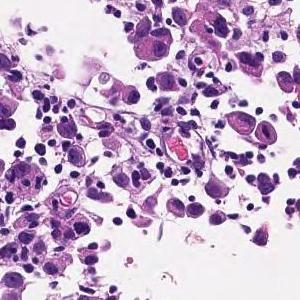
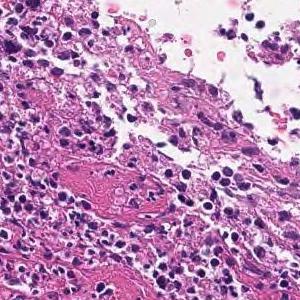
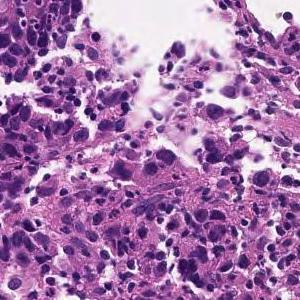
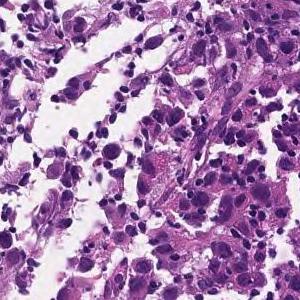
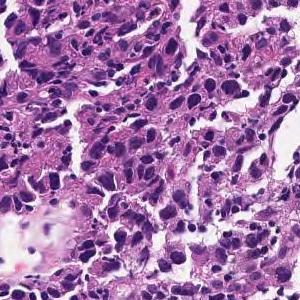
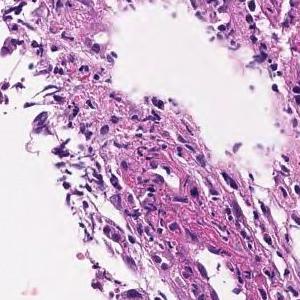
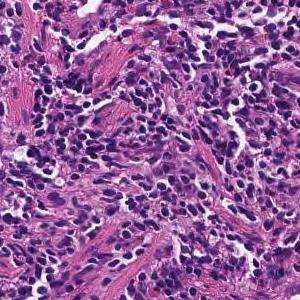
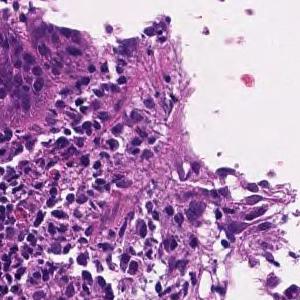
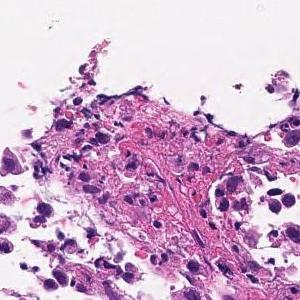
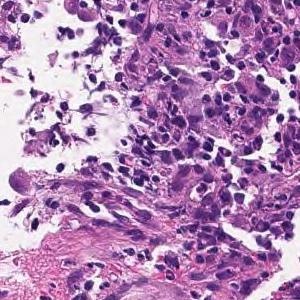
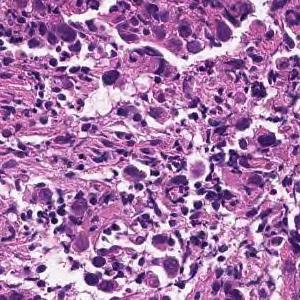
11 image tiles from a single gastric biopsy slide · H&E stain · 20× magnification.
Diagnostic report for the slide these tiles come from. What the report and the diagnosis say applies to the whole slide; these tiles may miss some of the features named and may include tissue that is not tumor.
The superficial epithelium shows a large sheet-like shape, and some tumor tissue infiltrates with small irregular ducts. Poorly differentiated adenocarcinoma, solid-type (poorly differentiated adenocarcinoma, solid type)
Histologic type: Poorly differentiated adenocarcinoma, solid type, a category of the Japanese Classification of Gastric Carcinoma; in the WHO 2019 classification it is tubular adenocarcinoma, poorly differentiated.
